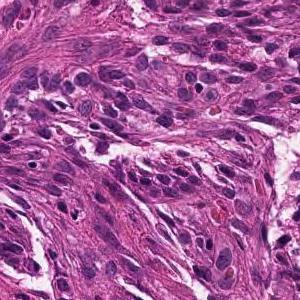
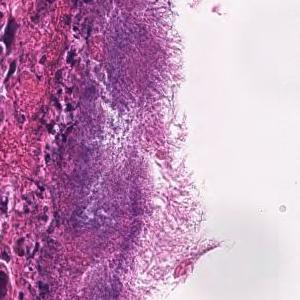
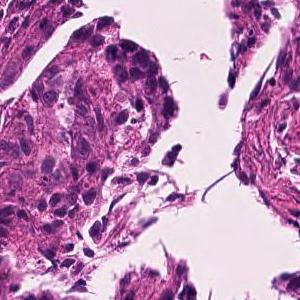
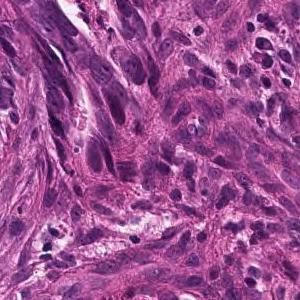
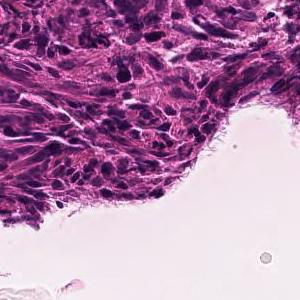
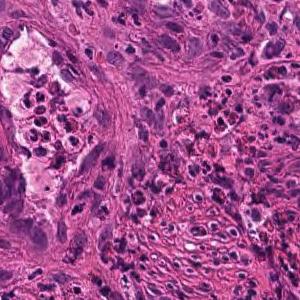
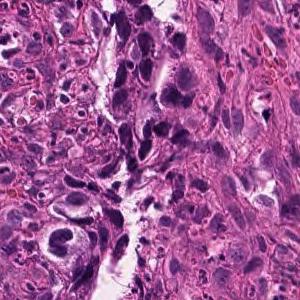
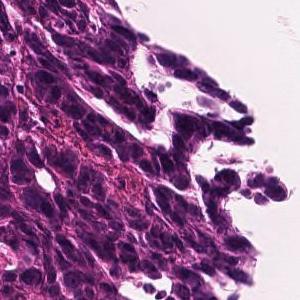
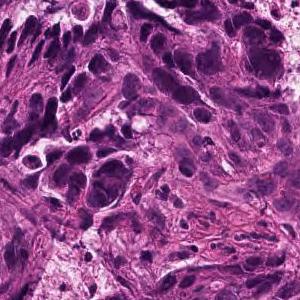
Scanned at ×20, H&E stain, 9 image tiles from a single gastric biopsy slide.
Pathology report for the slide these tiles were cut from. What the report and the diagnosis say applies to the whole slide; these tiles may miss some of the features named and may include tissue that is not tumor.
In the superficial epithelium, tumor tissue that invades by forming medium-sized to small, irregular ducts is observed. moderately differentiated tubular adenocarcinoma.
